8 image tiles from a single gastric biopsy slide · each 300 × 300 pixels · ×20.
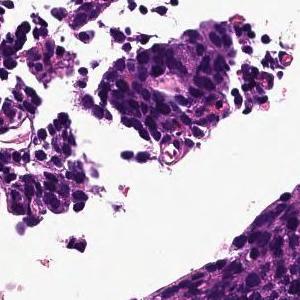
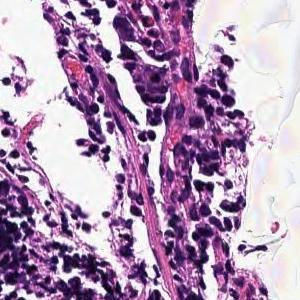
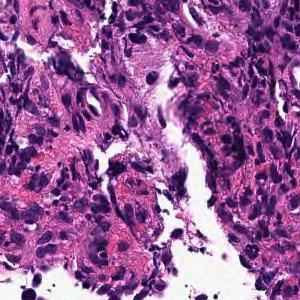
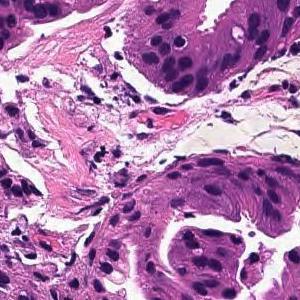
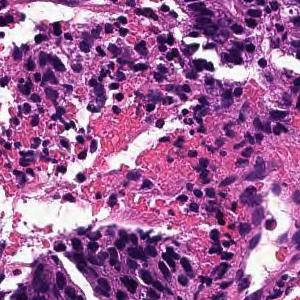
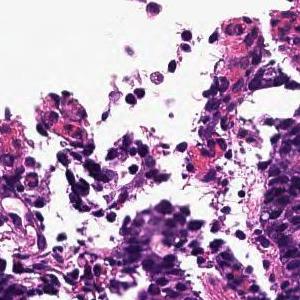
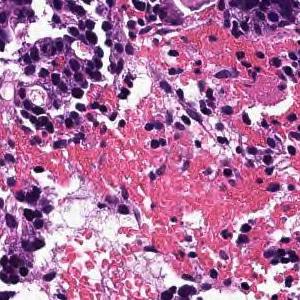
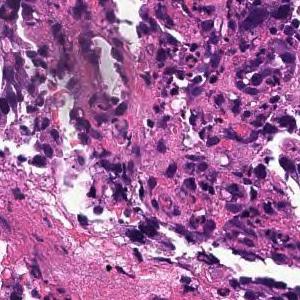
Diagnostic report for the slide these tiles come from. The report describes the whole slide, diagnosis included: not every finding it names need appear in these tiles, which may also show non-tumor tissue.
In the superficial epithelium, tumor tissue that invades by forming medium-sized to small, irregular ducts is observed. moderately differentiated tubular adenocarcinoma.
